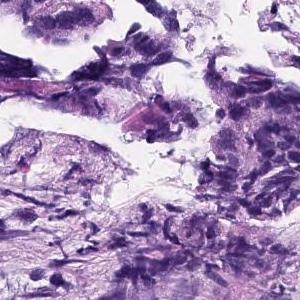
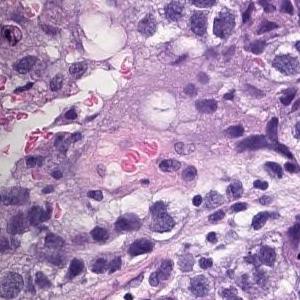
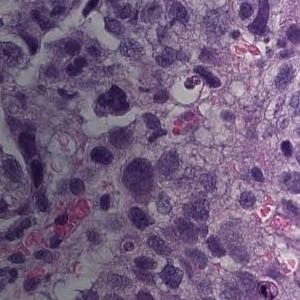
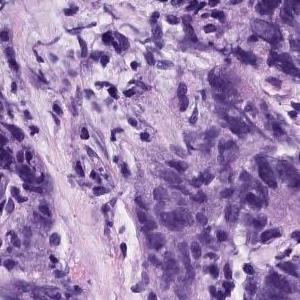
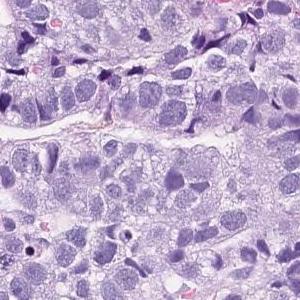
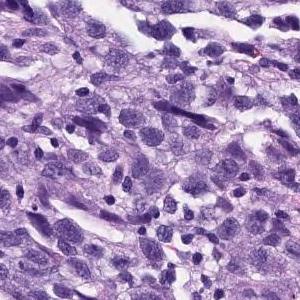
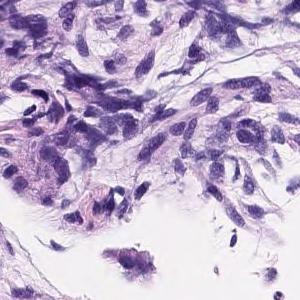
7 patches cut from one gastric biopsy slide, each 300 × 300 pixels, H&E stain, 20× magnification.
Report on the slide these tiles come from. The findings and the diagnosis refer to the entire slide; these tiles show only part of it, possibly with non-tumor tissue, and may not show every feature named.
Atypical epithelial cells with an increased N/C ratio proliferate and consist of a part that shows the formation of gland ducts and a part that shows solid growth. Poorly differentiated adenocarcinoma, solid-type
Tumor subtype: poorly differentiated adenocarcinoma, solid type, a category of the Japanese Classification of Gastric Carcinoma; in the WHO 2019 classification it is tubular adenocarcinoma, poorly differentiated.
